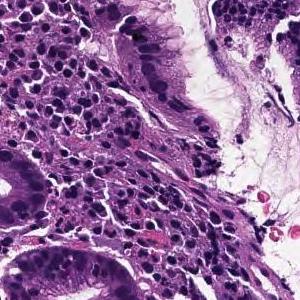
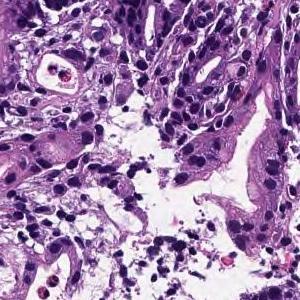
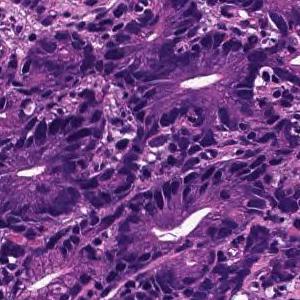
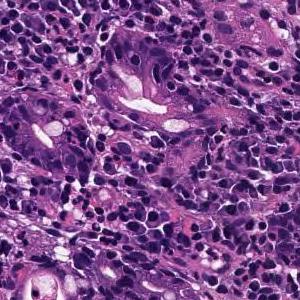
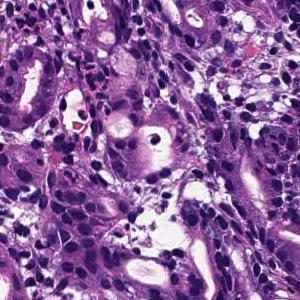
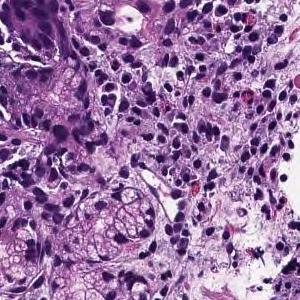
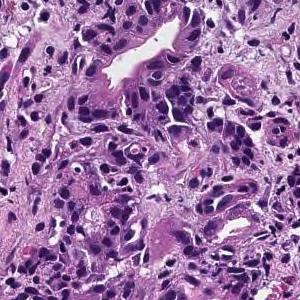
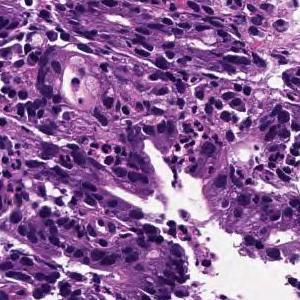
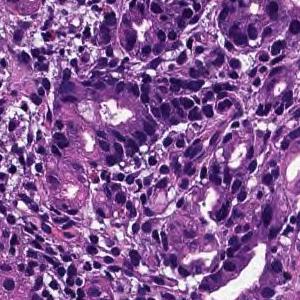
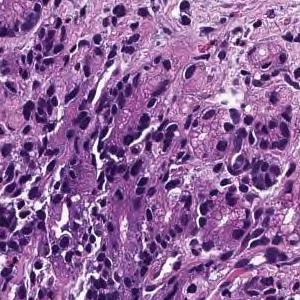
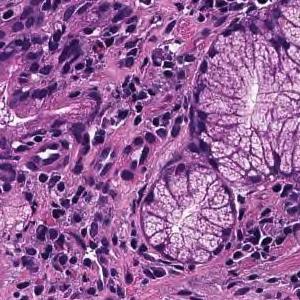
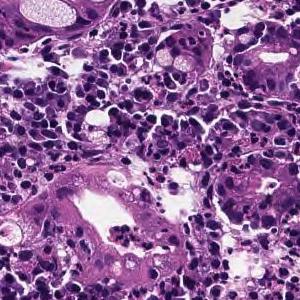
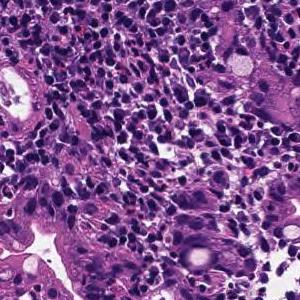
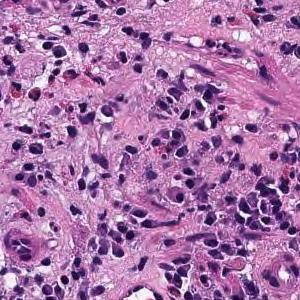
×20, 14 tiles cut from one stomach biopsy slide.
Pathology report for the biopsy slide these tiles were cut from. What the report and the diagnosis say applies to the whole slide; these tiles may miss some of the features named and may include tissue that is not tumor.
In the superficial epithelium, tumor tissue that invades by forming medium-sized to small, irregular ducts is observed. moderately differentiated tubular adenocarcinoma.
